4 image tiles from a single gastric biopsy slide; 20× magnification; H&E stain.
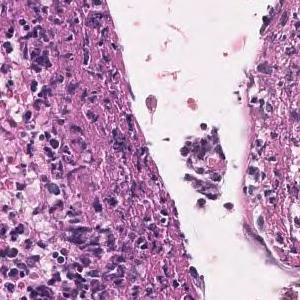
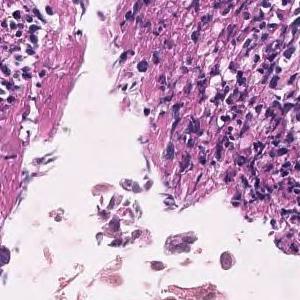
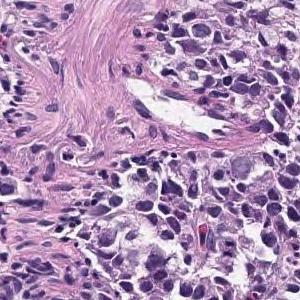
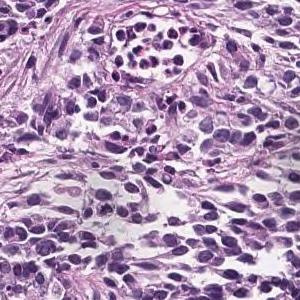
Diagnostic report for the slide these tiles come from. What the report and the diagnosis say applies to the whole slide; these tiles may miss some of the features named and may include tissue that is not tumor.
The superficial epithelium shows a large sheet-like shape, and some tumor tissue infiltrates with small irregular ducts. Poorly differentiated adenocarcinoma, solid-type
Histological subtype: Poorly differentiated adenocarcinoma, solid type (Japanese Classification of Gastric Carcinoma). The WHO 2019 equivalent is tubular adenocarcinoma, poorly differentiated.
